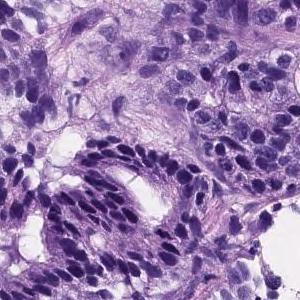
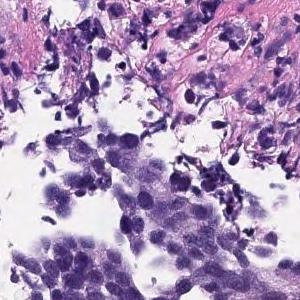
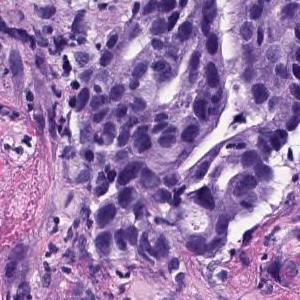
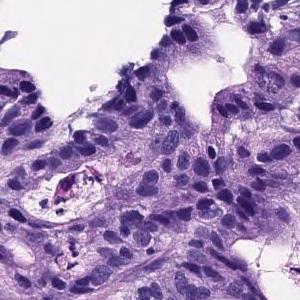
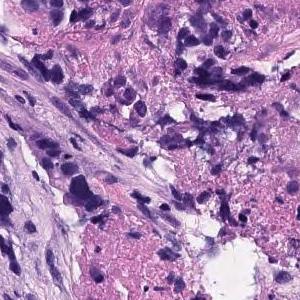
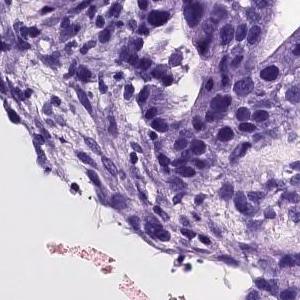
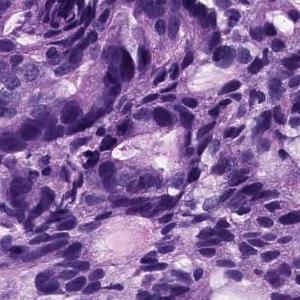
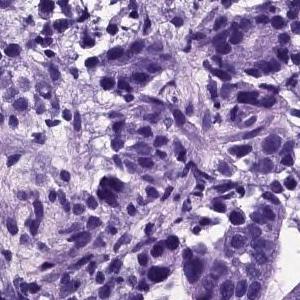
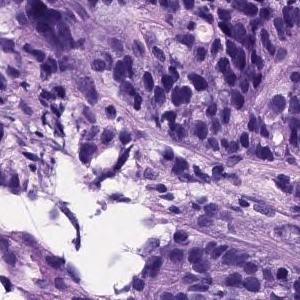
9 image tiles from a single gastric biopsy slide, 300×300 px each, H&E.
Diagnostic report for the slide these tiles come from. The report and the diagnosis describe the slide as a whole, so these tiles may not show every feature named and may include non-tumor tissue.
In the superficial epithelium, tumor tissue that invades by forming medium-sized to small, irregular ducts is observed. Tumor cells are columnar or cuboidal in shape. Moderately differentiated adenocarcinoma.
Tumor subtype: moderately differentiated tubular adenocarcinoma.
